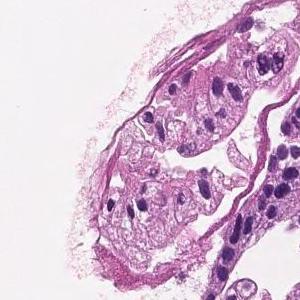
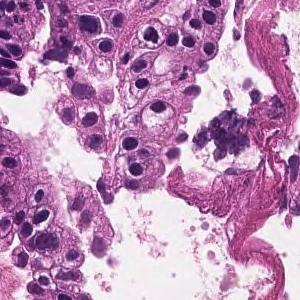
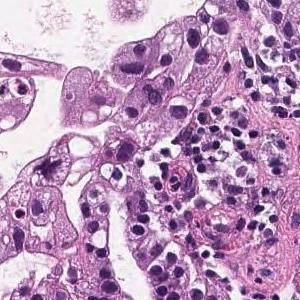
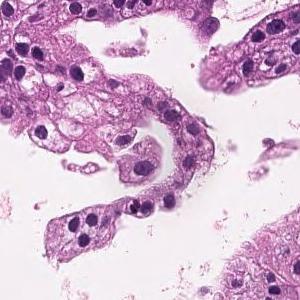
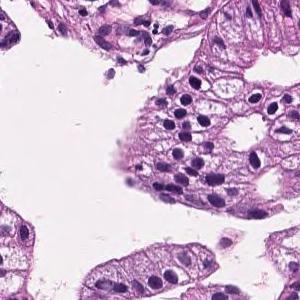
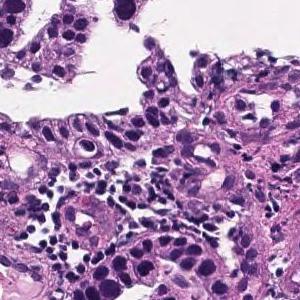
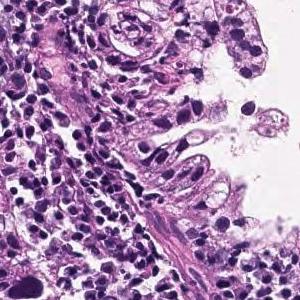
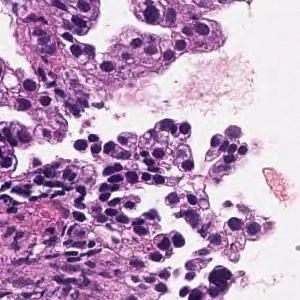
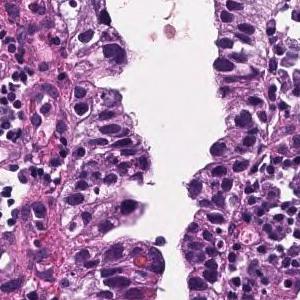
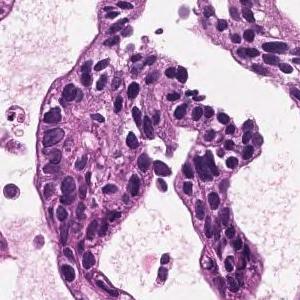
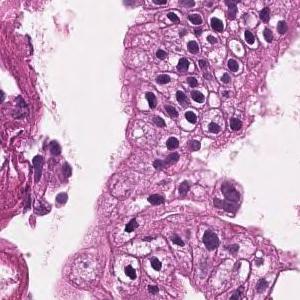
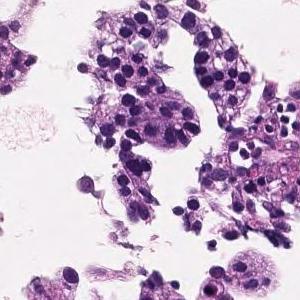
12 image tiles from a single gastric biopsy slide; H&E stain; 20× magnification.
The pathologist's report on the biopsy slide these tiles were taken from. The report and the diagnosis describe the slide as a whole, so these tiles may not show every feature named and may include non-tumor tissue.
On the superficial epithelium, tumor tissue that infiltrates by forming medium-sized papillary or small irregular ducts is observed. Papillary adenocarcinoma
